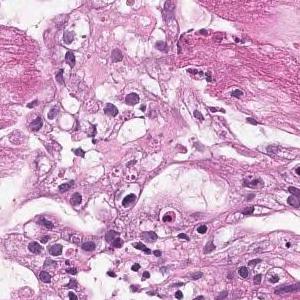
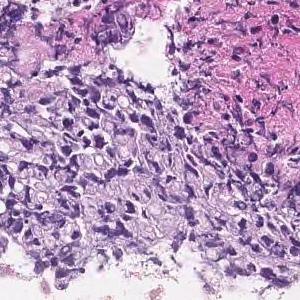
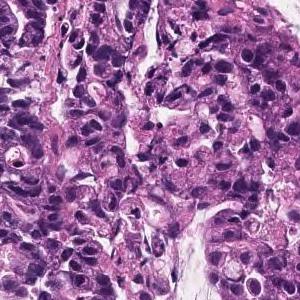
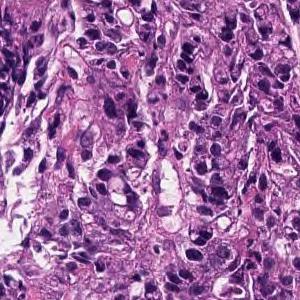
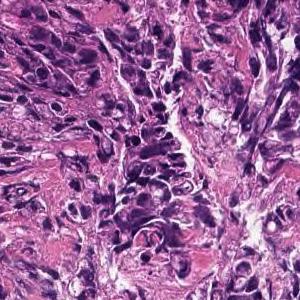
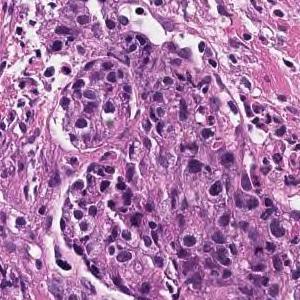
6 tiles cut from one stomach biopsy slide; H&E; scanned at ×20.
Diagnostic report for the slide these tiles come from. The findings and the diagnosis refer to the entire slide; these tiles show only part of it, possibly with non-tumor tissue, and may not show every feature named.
Medium to small, irregular glandular ducts are formed in the superficial epithelium, and in some cases, the glandular ducts are fused to show solid alveolar lesions and infiltrating tumor tissue is observed. Moderately to poorly differentiated adenocarcinoma.
